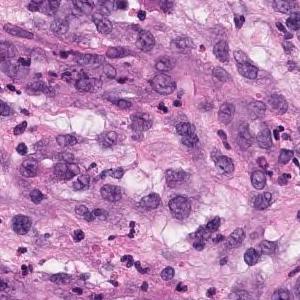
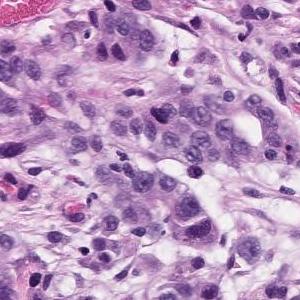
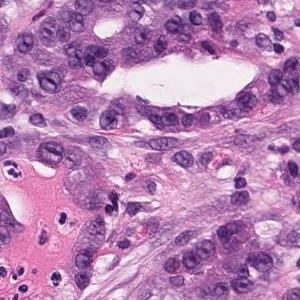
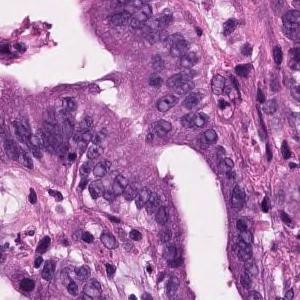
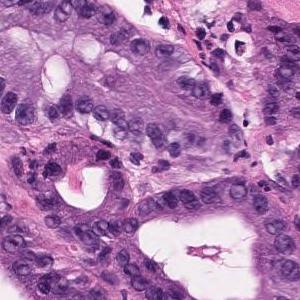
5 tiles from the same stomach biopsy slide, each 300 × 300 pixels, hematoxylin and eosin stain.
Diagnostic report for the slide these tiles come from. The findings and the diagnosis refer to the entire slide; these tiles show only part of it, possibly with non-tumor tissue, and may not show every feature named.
In the superficial epithelium, tumor tissue that invades by forming medium-sized to small, irregular ducts is observed. Moderately differentiated adenocarcinoma.
Histologic type: Moderately differentiated tubular adenocarcinoma.
